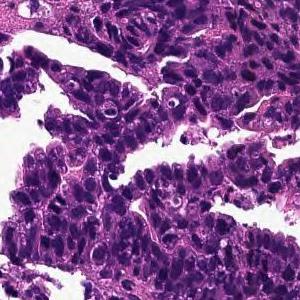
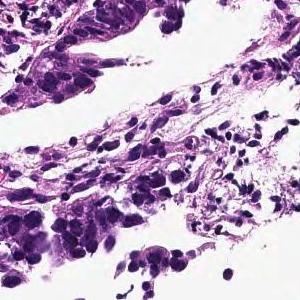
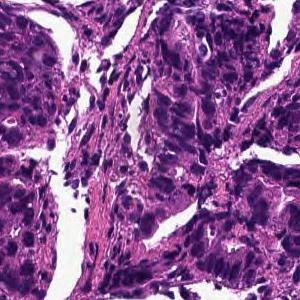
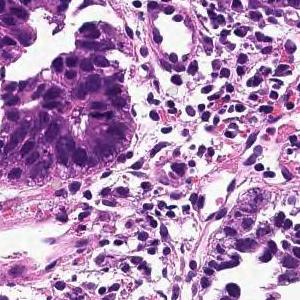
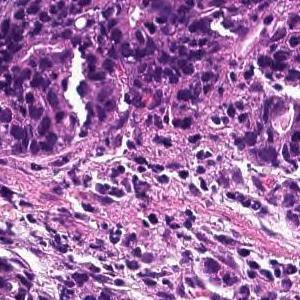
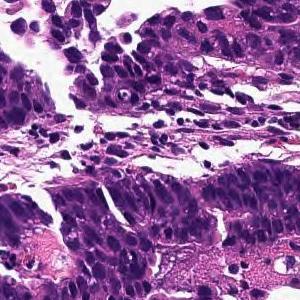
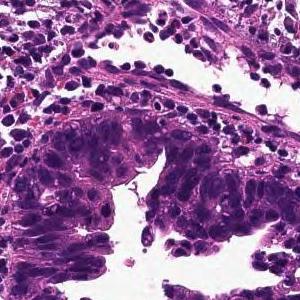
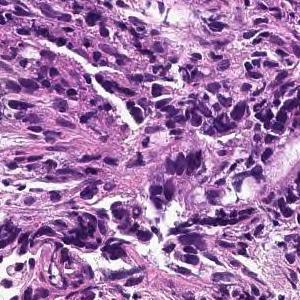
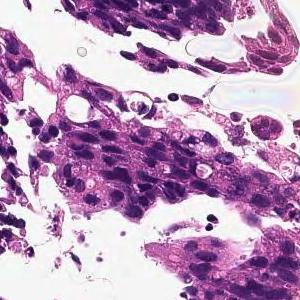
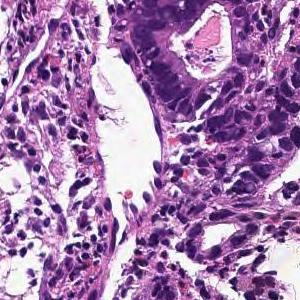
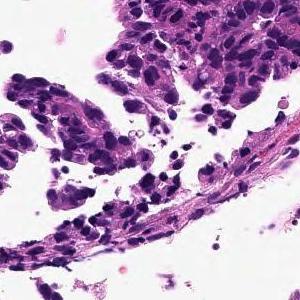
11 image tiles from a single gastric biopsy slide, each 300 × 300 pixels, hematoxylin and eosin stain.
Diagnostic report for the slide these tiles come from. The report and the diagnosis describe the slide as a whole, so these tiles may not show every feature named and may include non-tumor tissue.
In the superficial epithelium, tumor tissue that invades by forming medium-sized to small, irregular ducts is observed. moderately differentiated tubular adenocarcinoma.
